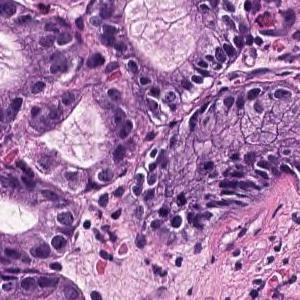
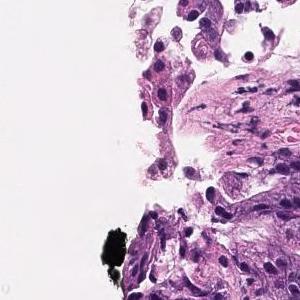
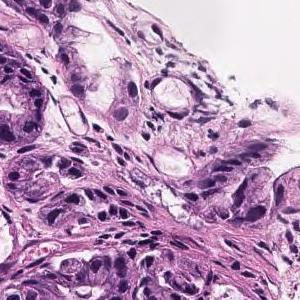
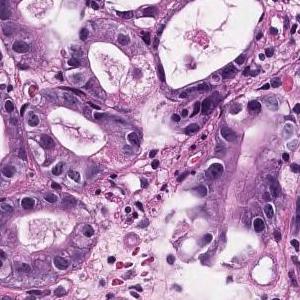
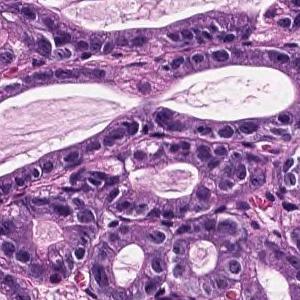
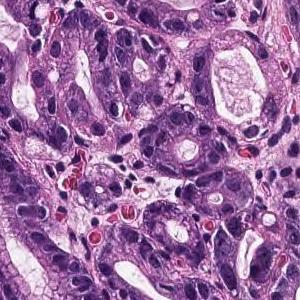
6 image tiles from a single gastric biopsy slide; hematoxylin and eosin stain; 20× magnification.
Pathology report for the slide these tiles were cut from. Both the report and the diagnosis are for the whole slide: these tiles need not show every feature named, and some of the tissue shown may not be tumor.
On the superficial epithelium, tumor tissue that infiltrates by forming medium-sized round or small irregular ducts is observed. Papillary adenocarcinoma
